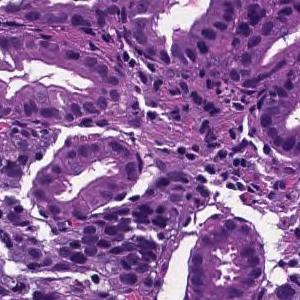
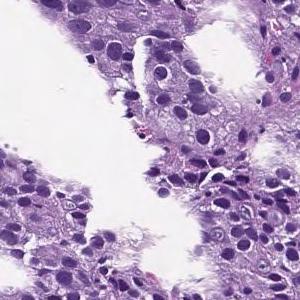
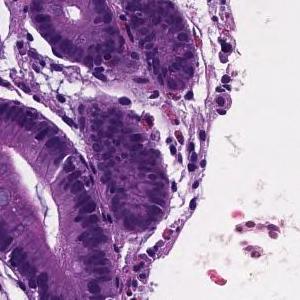
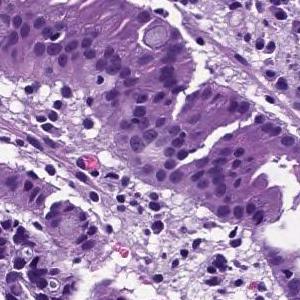
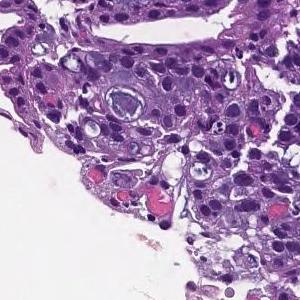
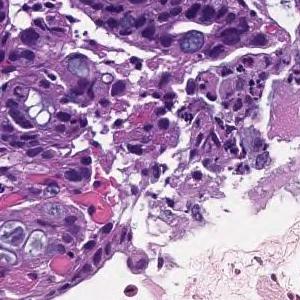
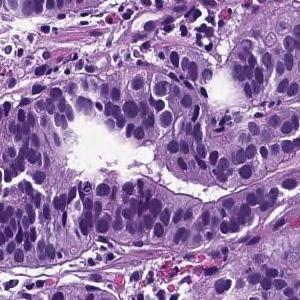
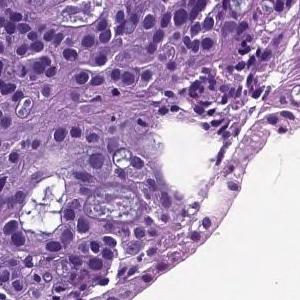
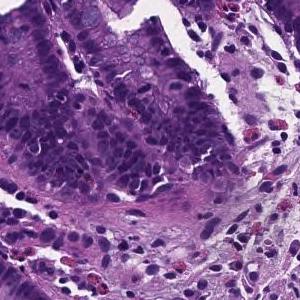
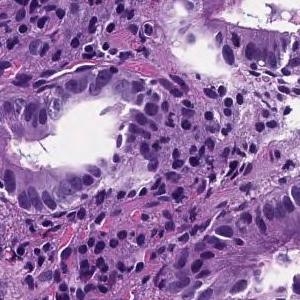
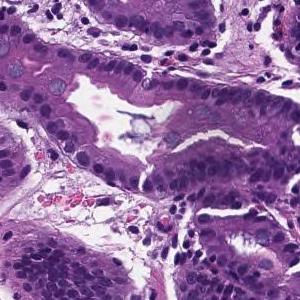
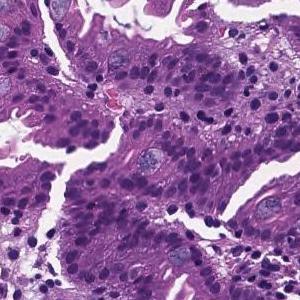
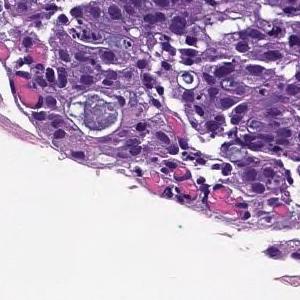
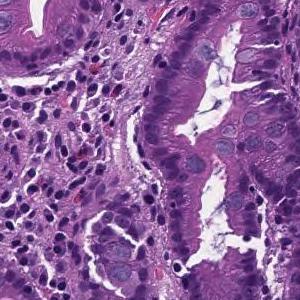
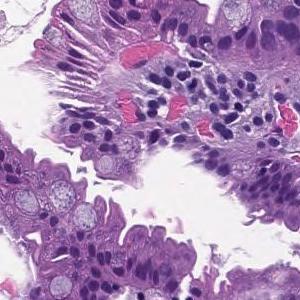
15 tiles from the same stomach biopsy slide, 300×300 px each, ×20, hematoxylin and eosin stain.
The pathologist's report on the biopsy slide these tiles were taken from. The report describes the whole slide, diagnosis included: not every finding it names need appear in these tiles, which may also show non-tumor tissue.
In the superficial epithelium, tumor tissue that invades by forming medium-sized to small, irregular ducts is observed. moderately differentiated tubular adenocarcinoma.
